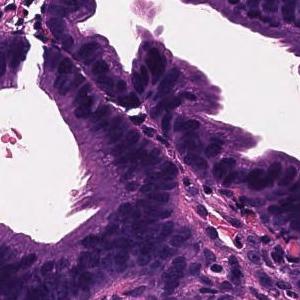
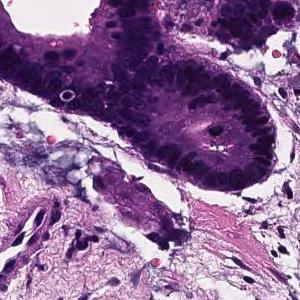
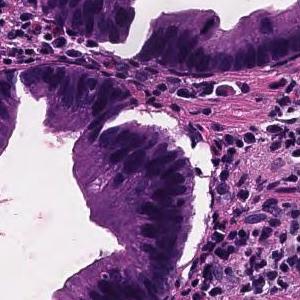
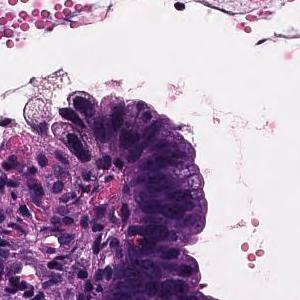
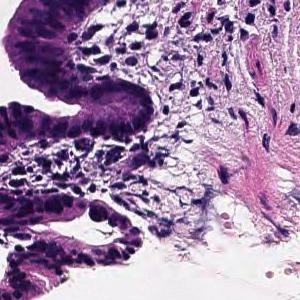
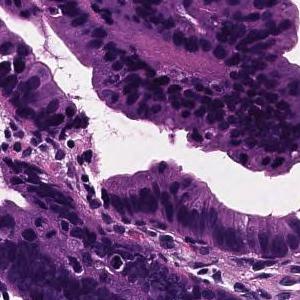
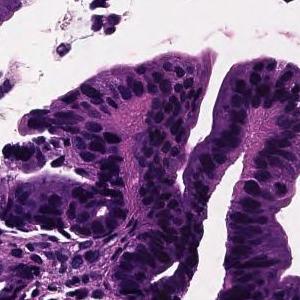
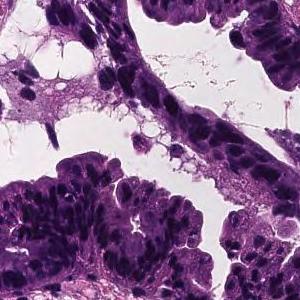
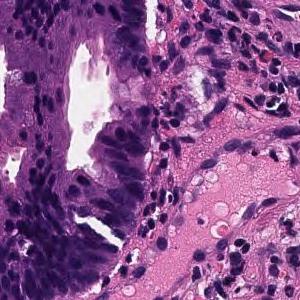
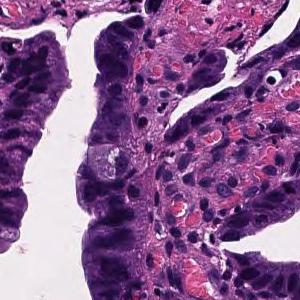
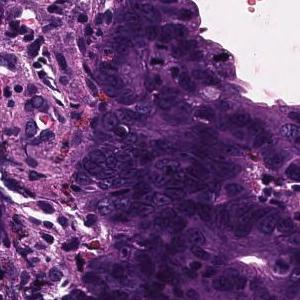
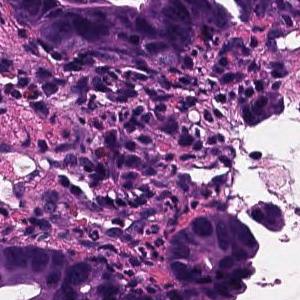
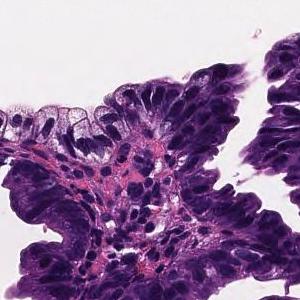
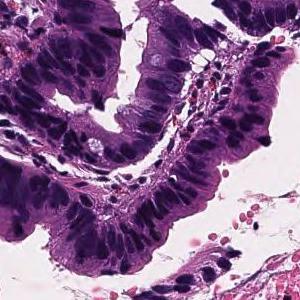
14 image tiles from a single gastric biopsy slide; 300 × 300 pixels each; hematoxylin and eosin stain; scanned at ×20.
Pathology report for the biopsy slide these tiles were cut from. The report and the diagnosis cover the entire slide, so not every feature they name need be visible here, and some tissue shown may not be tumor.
Tumor cells are large, highly columnar, large club-shaped nuclei, and are associated with chromatin aggregation. Papillary adenocarcinoma.
